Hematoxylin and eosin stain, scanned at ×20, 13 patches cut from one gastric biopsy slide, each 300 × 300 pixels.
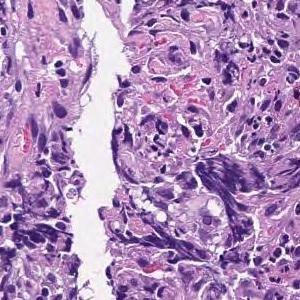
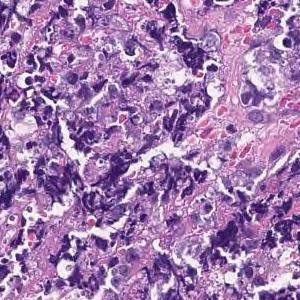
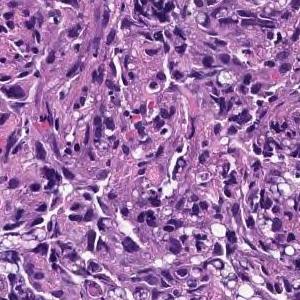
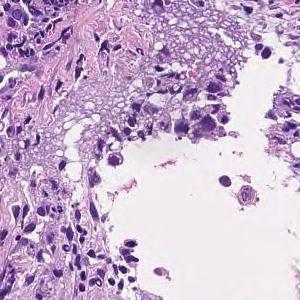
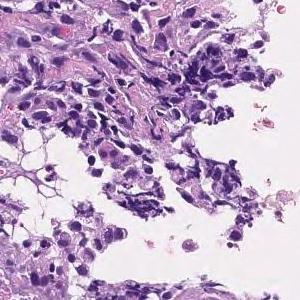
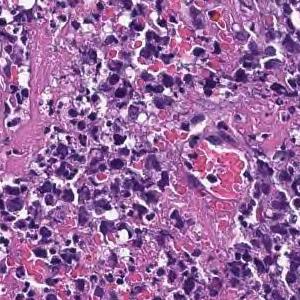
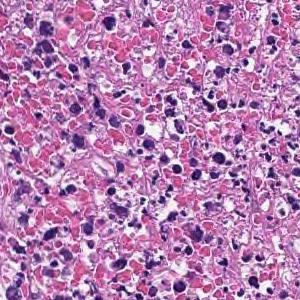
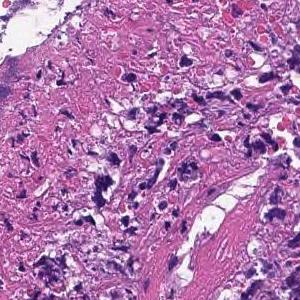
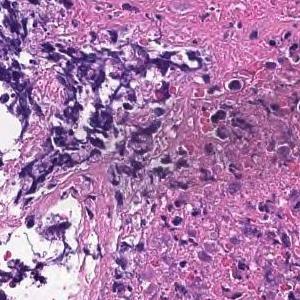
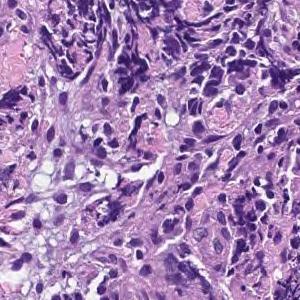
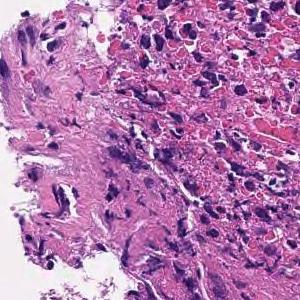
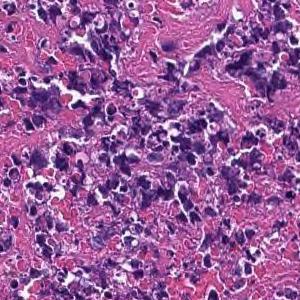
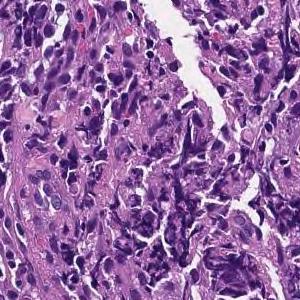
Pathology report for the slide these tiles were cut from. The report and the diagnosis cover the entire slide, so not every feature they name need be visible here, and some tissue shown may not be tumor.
Most are composed of coagulative necrotic tissue, but some show a large sheet-like shape, and some show tumor tissue infiltrating with a small cord-like structure. Poorly differentiated adenocarcinoma, solid-type
Subtype: Poorly differentiated adenocarcinoma, solid type. This name comes from the Japanese Classification of Gastric Carcinoma; the WHO 2019 classification calls it tubular adenocarcinoma, poorly differentiated.
